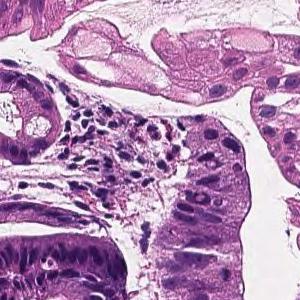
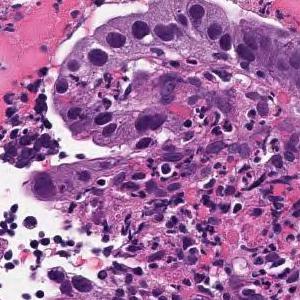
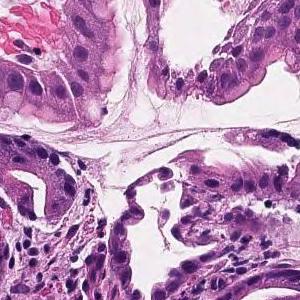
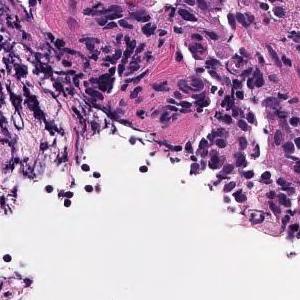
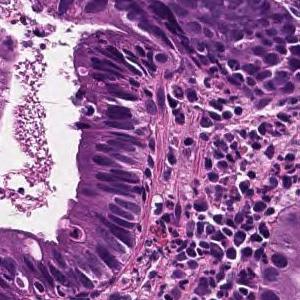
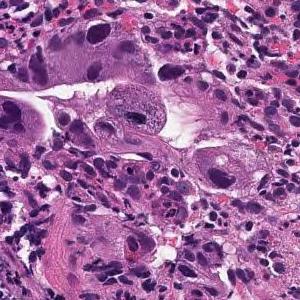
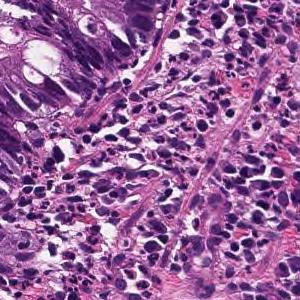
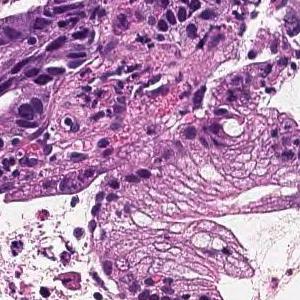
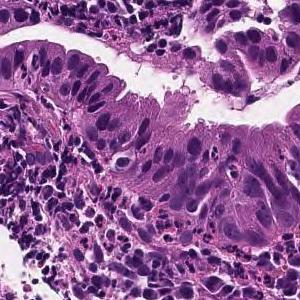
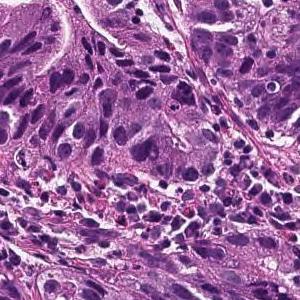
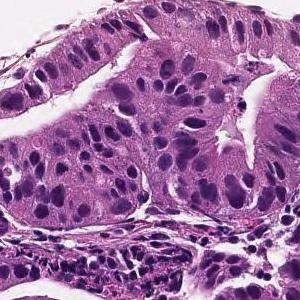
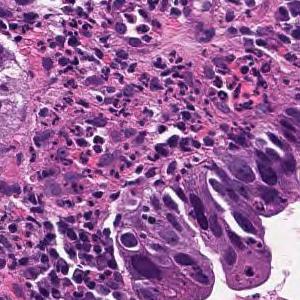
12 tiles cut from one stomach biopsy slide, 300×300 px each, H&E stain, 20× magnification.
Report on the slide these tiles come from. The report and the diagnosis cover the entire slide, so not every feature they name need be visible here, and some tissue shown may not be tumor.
From the superficial epithelium to the muscularis mucosae, tumor tissue consisting of medium-sized and irregular glandular ducts infiltrating is observed. Well differentiated tubular adenocarcinoma
